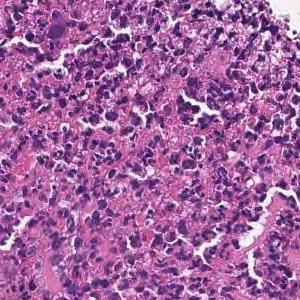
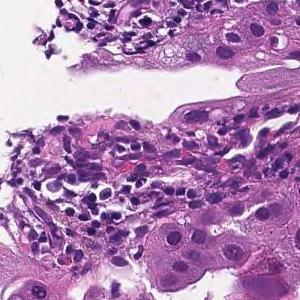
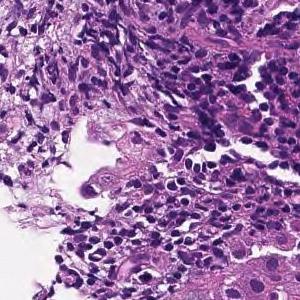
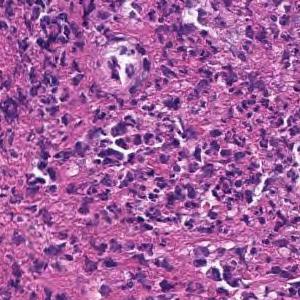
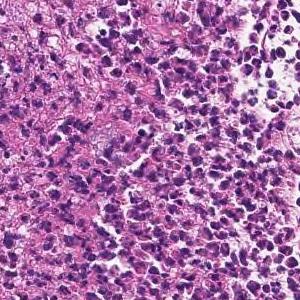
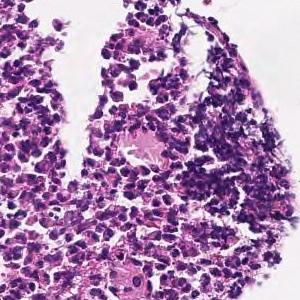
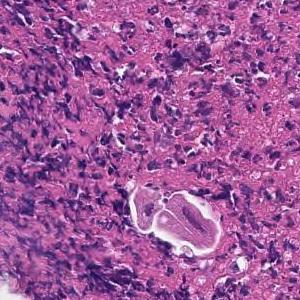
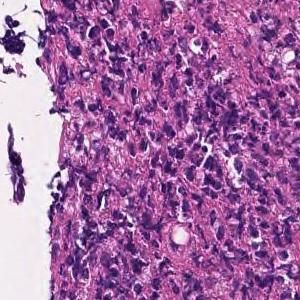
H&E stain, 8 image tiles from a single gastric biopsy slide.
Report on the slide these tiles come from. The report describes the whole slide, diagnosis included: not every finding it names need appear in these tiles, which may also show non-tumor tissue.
In the superficial epithelium, tumor tissue infiltrated by partial fusion of medium-sized to small, irregular glandular ducts is observed. moderately differentiated tubular adenocarcinoma
